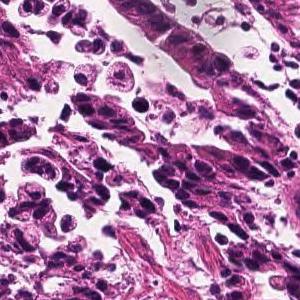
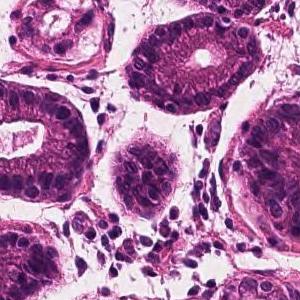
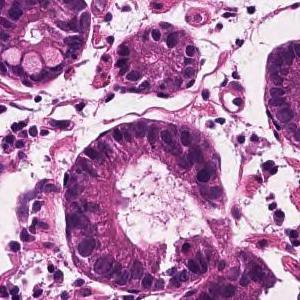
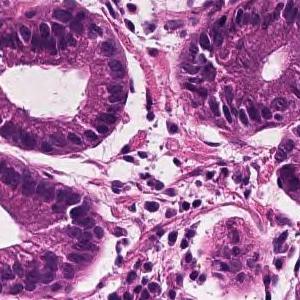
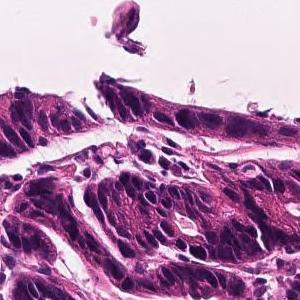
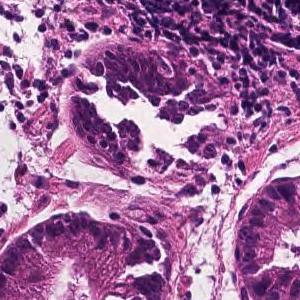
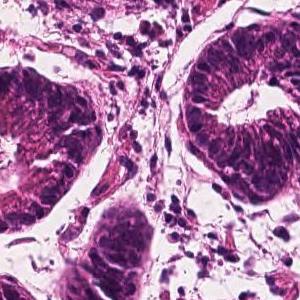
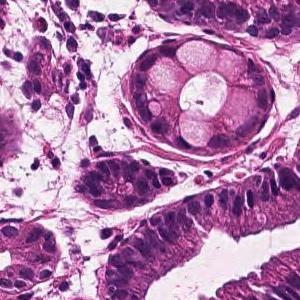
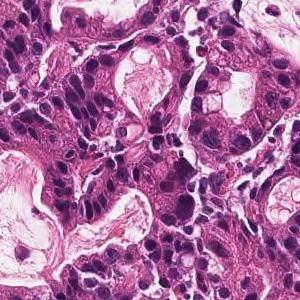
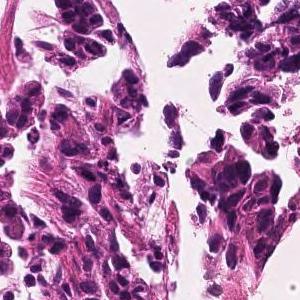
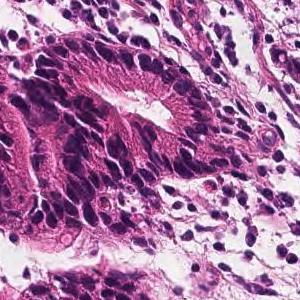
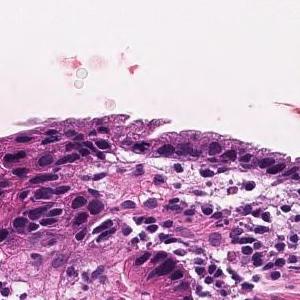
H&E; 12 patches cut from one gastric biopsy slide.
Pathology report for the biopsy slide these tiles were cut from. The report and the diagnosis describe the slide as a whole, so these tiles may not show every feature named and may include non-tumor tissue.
In the superficial epithelium, tumor tissue that invades by forming medium-sized to small, irregular ducts is observed. moderately differentiated tubular adenocarcinoma.
